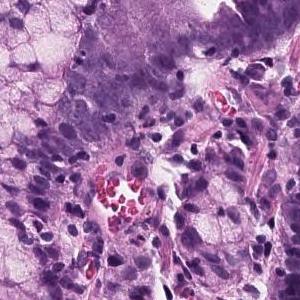
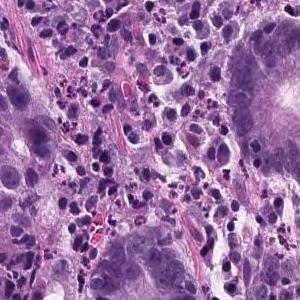
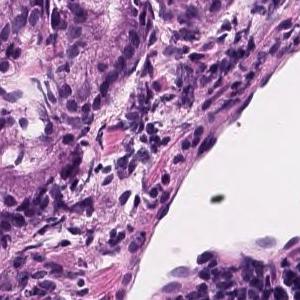
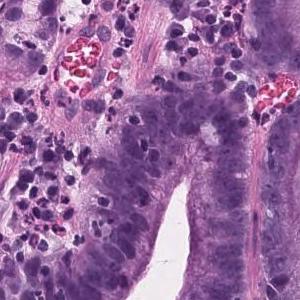
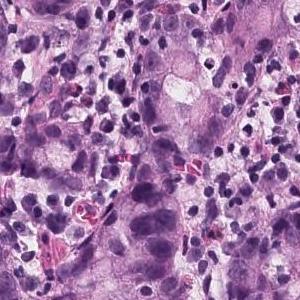
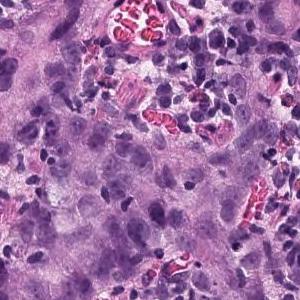
6 image tiles from a single gastric biopsy slide; H&E stain.
Pathology report for the slide these tiles were cut from. The report and the diagnosis cover the entire slide, so not every feature they name need be visible here, and some tissue shown may not be tumor.
In the superficial epithelium, tumor tissue that invades by forming medium-sized to small, irregular ducts is observed. Moderately differentiated adenocarcinoma.
Subtype: Moderately differentiated tubular adenocarcinoma.
